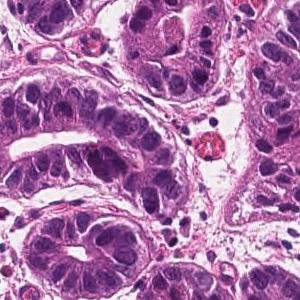
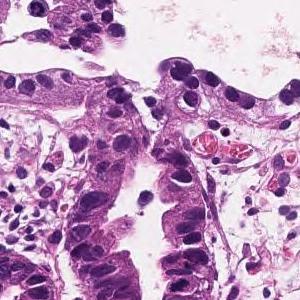
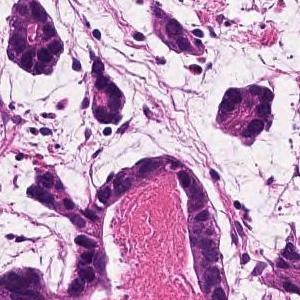
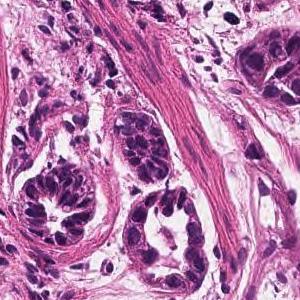
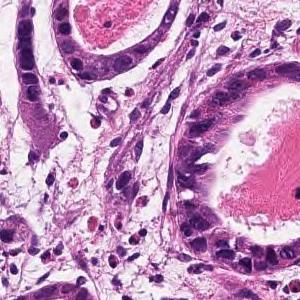
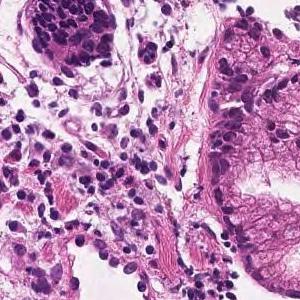
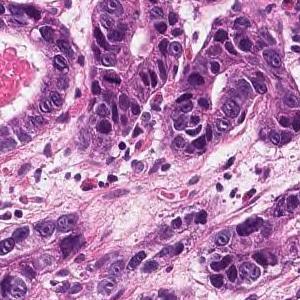
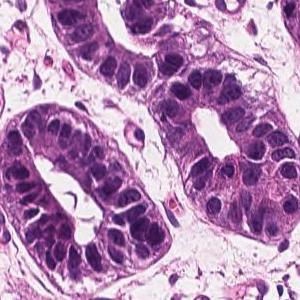
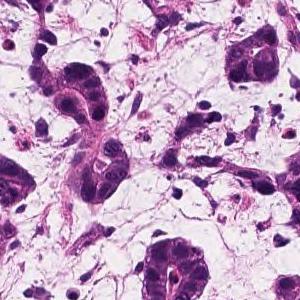
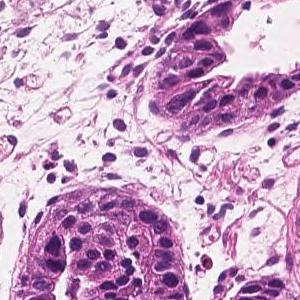
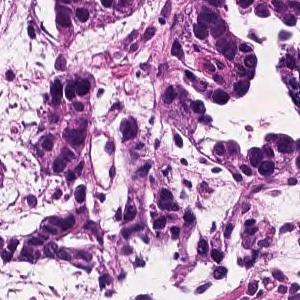
Scanned at ×20 · H&E stain · 11 image tiles from a single gastric biopsy slide.
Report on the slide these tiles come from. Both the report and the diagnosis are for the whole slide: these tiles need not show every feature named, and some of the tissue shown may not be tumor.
In the superficial epithelium, tumor tissue that invades by forming medium-sized to small, irregular ducts is observed. Well differentiated tubular adenocarcinoma.
